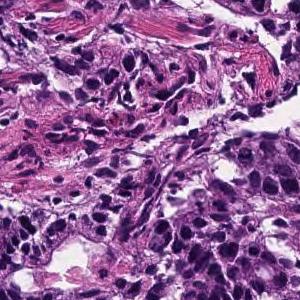
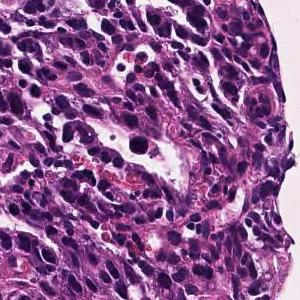
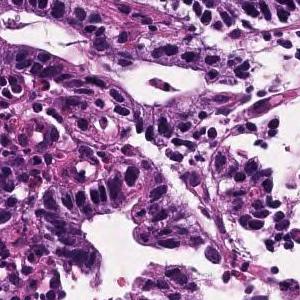
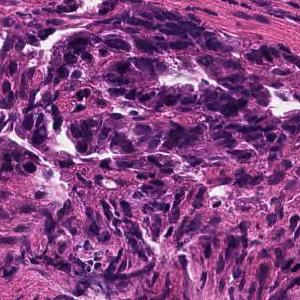
Hematoxylin and eosin stain · 4 image tiles from a single gastric biopsy slide · 300×300 px each.
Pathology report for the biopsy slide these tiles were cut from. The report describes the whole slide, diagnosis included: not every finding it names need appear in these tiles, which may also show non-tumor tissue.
In the superficial epithelium, tumor tissue that invades by forming medium-sized to small, irregular ducts is observed. moderately differentiated tubular adenocarcinoma.
